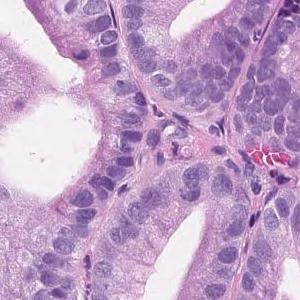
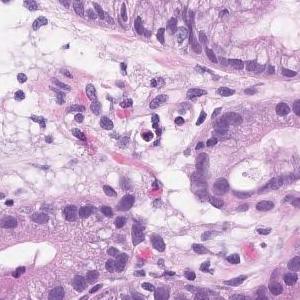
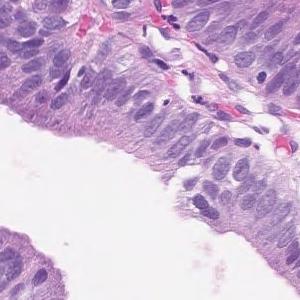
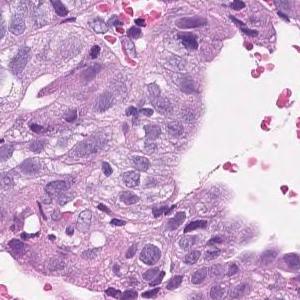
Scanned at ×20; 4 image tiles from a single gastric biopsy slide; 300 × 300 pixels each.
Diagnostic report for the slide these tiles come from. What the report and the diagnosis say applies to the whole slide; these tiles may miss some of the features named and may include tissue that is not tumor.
Tumor tissue consisting of medium-sized and irregular ducts is observed infiltrating in the superficial epithelium. Tumor cells are highly columnar, with nuclei aligned basolaterally and polarized. Well differentiated tubular adenocarcinoma.
